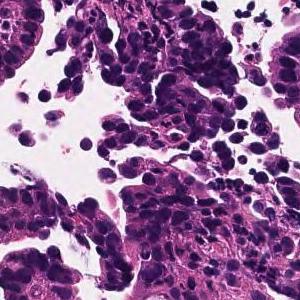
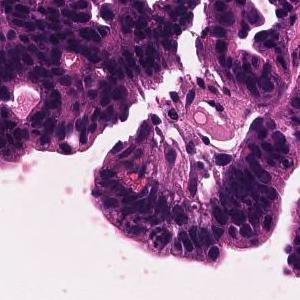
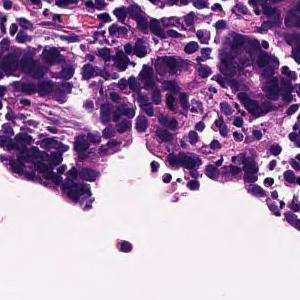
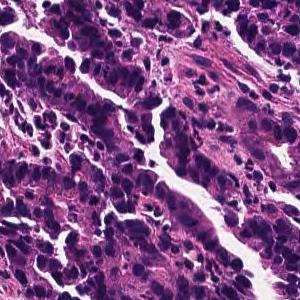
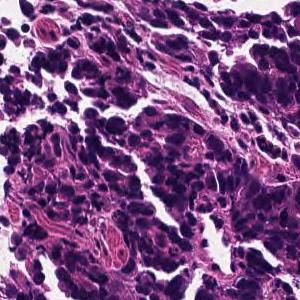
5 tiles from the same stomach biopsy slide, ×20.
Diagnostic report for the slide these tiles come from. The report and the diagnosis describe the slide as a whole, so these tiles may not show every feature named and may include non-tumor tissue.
Medium to small, irregular glandular ducts are formed in the superficial epithelium, and in some cases, the glandular ducts are fused to show solid alveolar lesions and infiltrating tumor tissue is observed. Moderately to poorly differentiated adenocarcinoma.
